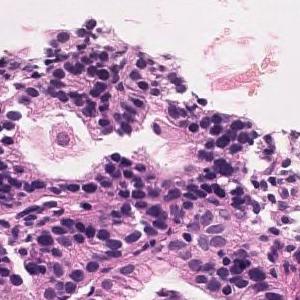
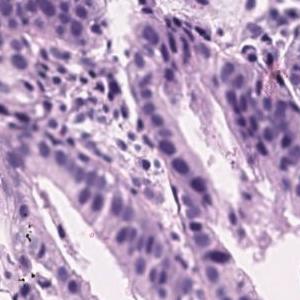
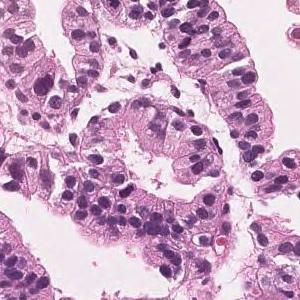
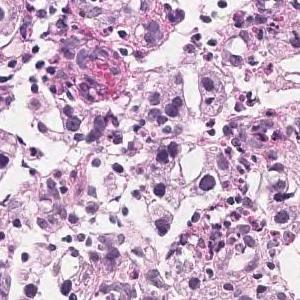
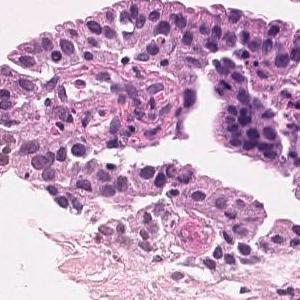
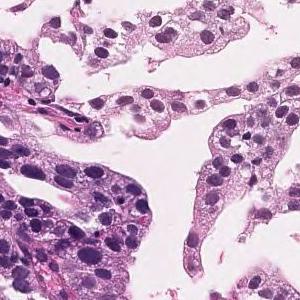
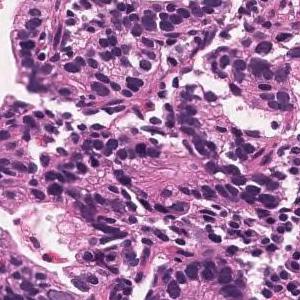
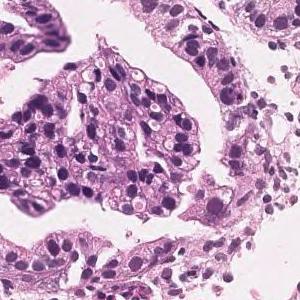
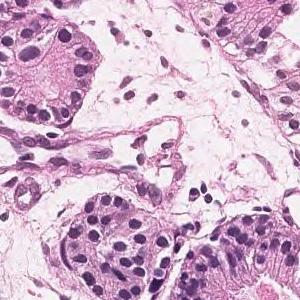
9 patches cut from one gastric biopsy slide; ×20; H&E.
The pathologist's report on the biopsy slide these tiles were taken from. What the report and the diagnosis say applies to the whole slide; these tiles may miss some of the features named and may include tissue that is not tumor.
In the superficial epithelium, tumor tissue that invades by forming medium-sized to small, irregular ducts is observed. moderately differentiated tubular adenocarcinoma.
